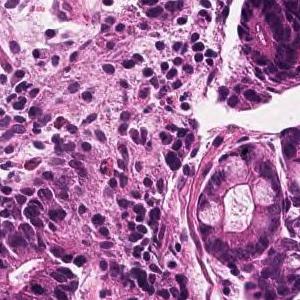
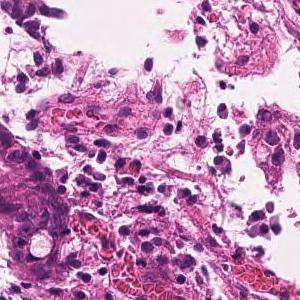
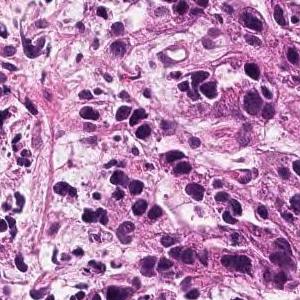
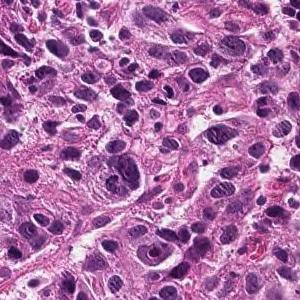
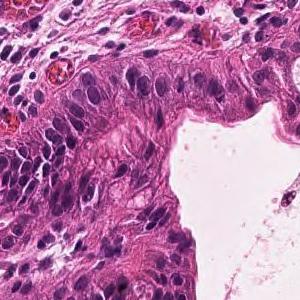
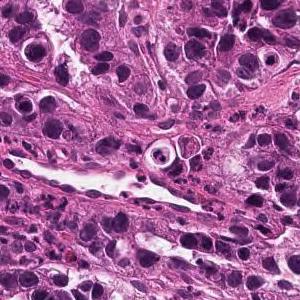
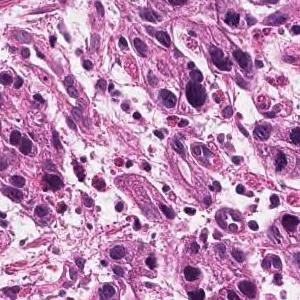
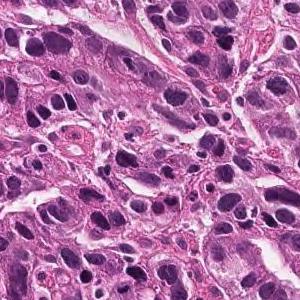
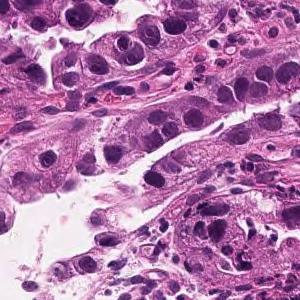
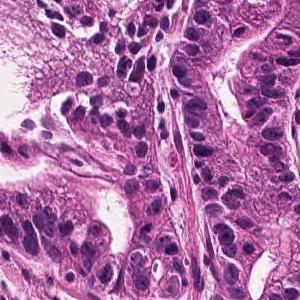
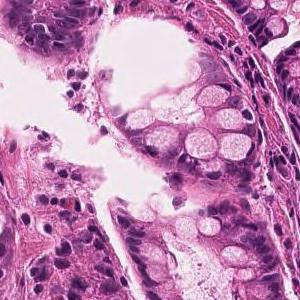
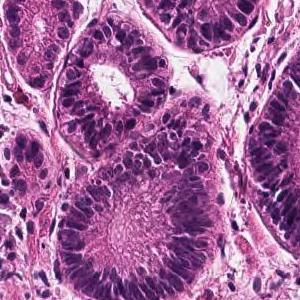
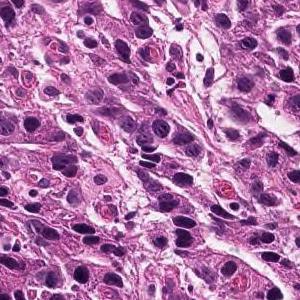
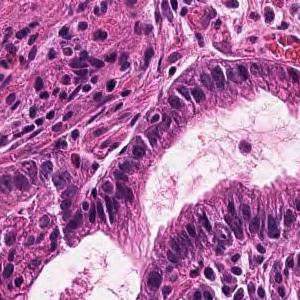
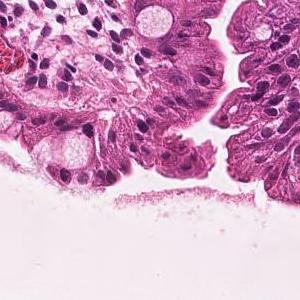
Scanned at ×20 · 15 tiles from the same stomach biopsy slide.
Diagnostic report for the slide these tiles come from. What the report and the diagnosis say applies to the whole slide; these tiles may miss some of the features named and may include tissue that is not tumor.
Tumor tissue consisting of medium-sized, cord-like or irregular glandular infiltration is observed in the superficial epithelium. Poorly differentiated adenocarcinoma, non-solid type or moderately differentiated tubular adenocarcinoma
Classified as moderately to poorly differentiated adenocarcinoma.
The term "non-solid type" comes from the Japanese Classification of Gastric Carcinoma.
